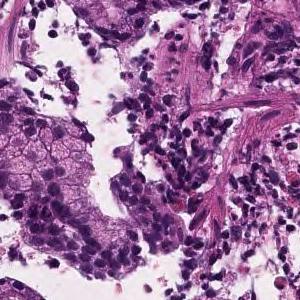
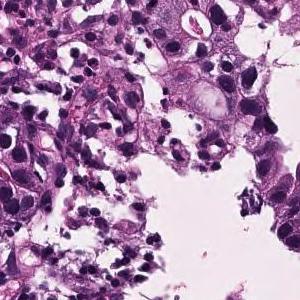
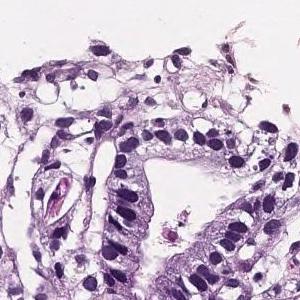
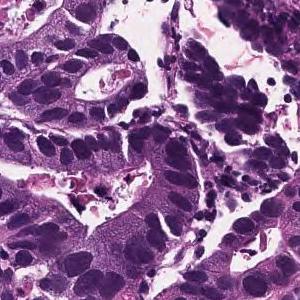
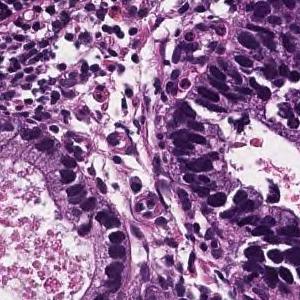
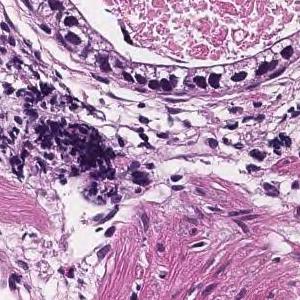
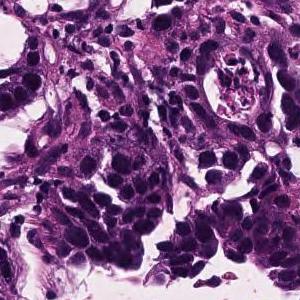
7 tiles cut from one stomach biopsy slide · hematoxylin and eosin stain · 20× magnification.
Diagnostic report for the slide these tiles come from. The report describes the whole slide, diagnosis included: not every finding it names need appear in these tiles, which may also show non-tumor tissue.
In the superficial epithelium, tumor tissue that invades by forming medium-sized to small, irregular ducts is observed. Well differentiated tubular adenocarcinoma.
